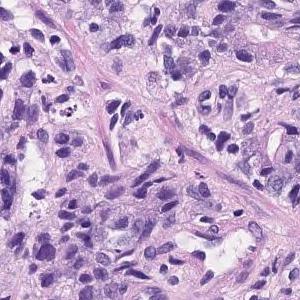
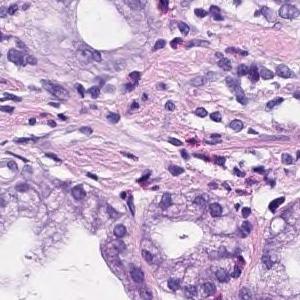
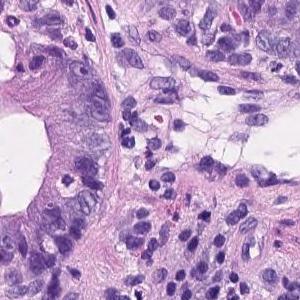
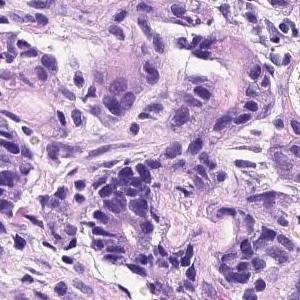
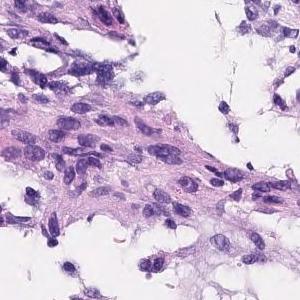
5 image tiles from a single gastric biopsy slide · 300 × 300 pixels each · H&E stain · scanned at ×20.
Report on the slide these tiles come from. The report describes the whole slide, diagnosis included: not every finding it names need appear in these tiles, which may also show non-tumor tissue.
Irregularly fused atypical ducts proliferating while replacing existing ducts was observed. moderately differentiated tubular adenocarcinoma
